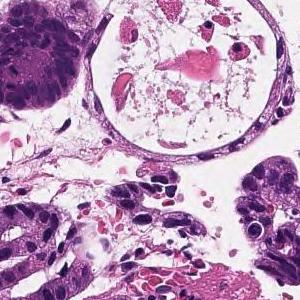
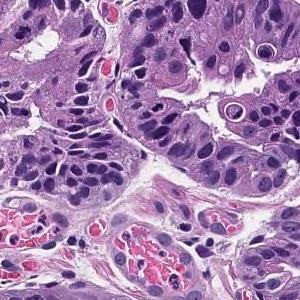
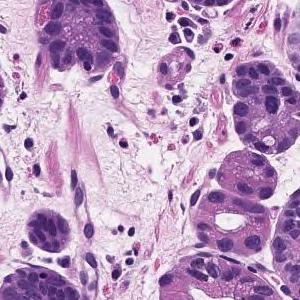
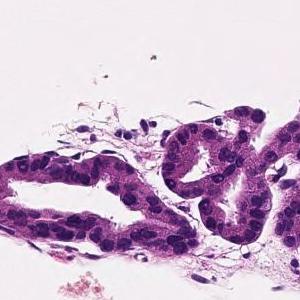
H&E · 20× magnification · 4 image tiles from a single gastric biopsy slide · each 300 × 300 pixels.
Diagnostic report for the slide these tiles come from. What the report and the diagnosis say applies to the whole slide; these tiles may miss some of the features named and may include tissue that is not tumor.
Tumor cells are large, highly columnar, large club-shaped nuclei, and are associated with chromatin aggregation. Papillary adenocarcinoma.
